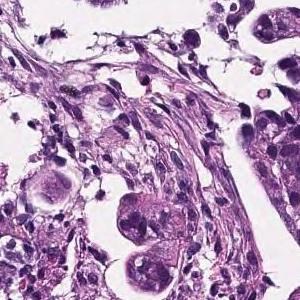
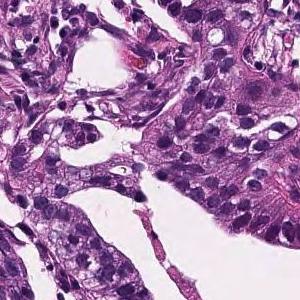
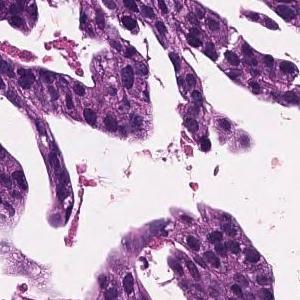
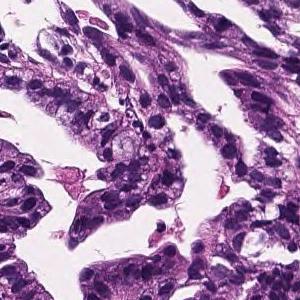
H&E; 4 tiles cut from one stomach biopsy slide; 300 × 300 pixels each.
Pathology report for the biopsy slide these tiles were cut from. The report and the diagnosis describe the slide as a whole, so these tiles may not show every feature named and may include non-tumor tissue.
In the lamina propria, tumor tissue that invades by forming medium-sized to small, irregular glandular ducts is observed. moderately differentiated tubular adenocarcinoma
